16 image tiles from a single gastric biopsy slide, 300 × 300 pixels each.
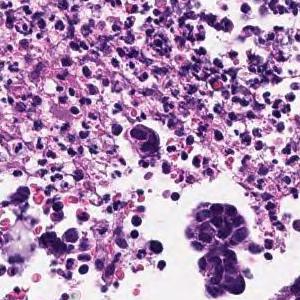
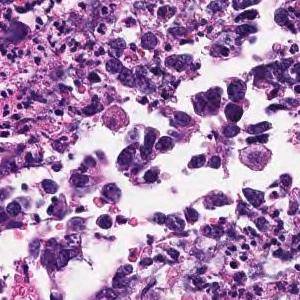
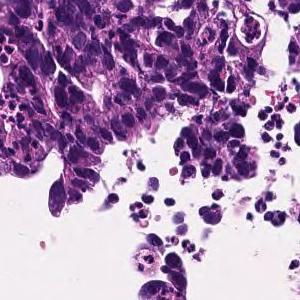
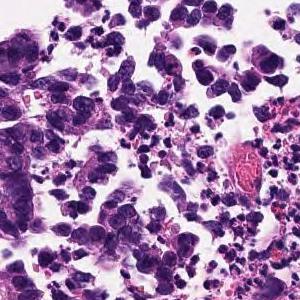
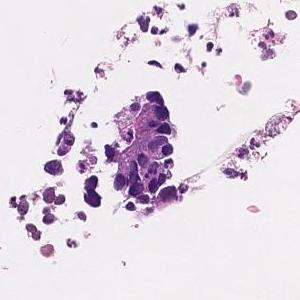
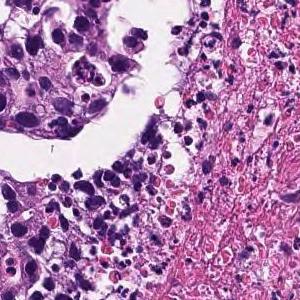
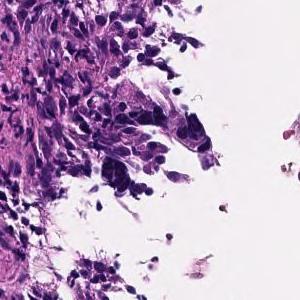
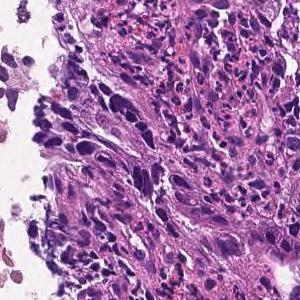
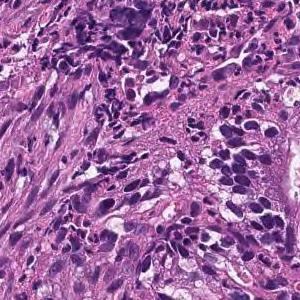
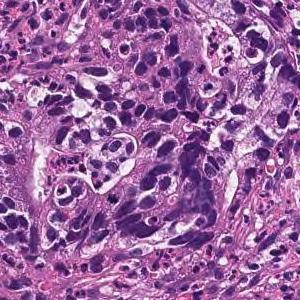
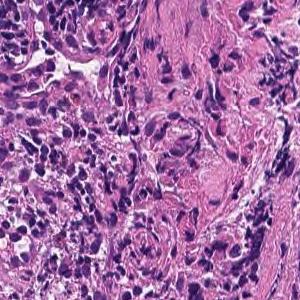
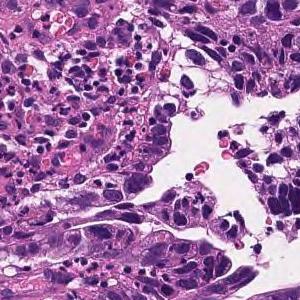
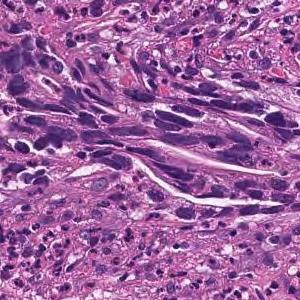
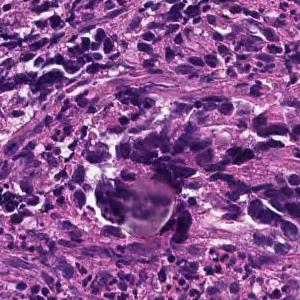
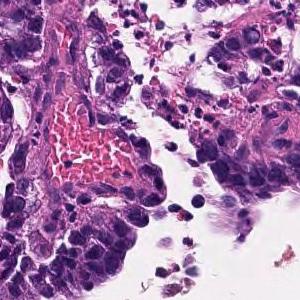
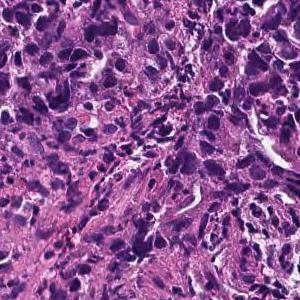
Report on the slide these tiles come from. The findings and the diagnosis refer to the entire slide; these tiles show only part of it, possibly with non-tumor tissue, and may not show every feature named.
In the superficial epithelium, tumor tissue that invades by forming medium-sized to small, irregular ducts is observed. Moderately differentiated adenocarcinoma.
Classified as moderately differentiated tubular adenocarcinoma.
